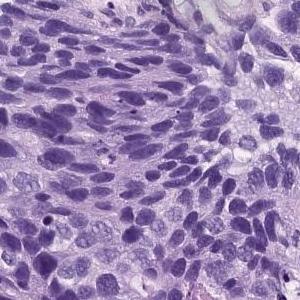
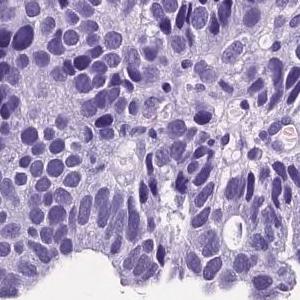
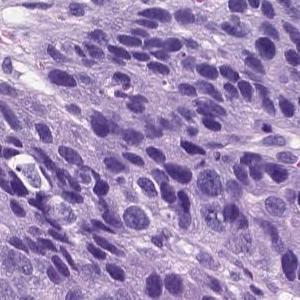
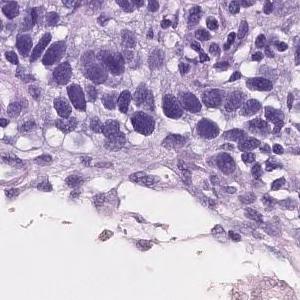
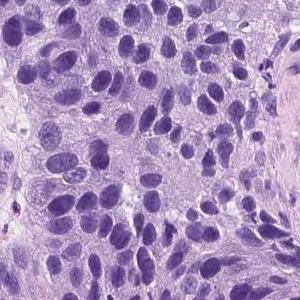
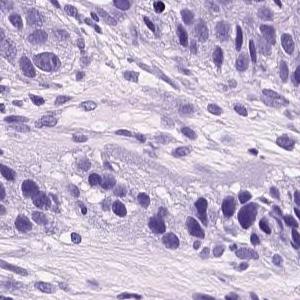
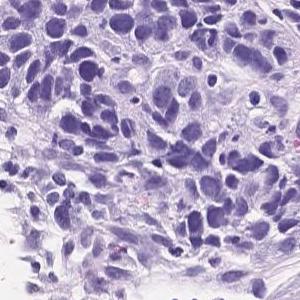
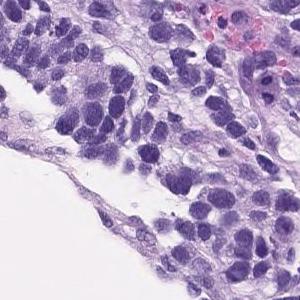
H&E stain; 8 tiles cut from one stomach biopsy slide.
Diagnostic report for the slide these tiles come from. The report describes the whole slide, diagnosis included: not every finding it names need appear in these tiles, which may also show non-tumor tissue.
Atypical cells with atypical nuclei forming small irregular atypical ducts and growing in a conformative manner. moderately differentiated tubular adenocarcinoma
Labeled in the dataset as moderately to poorly differentiated adenocarcinoma.
